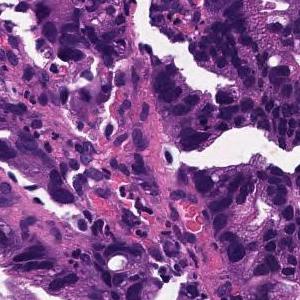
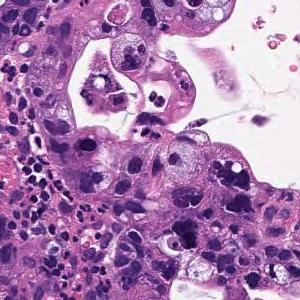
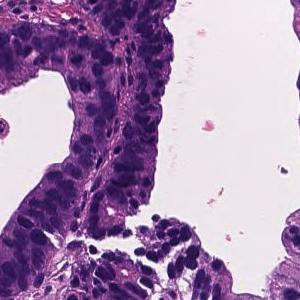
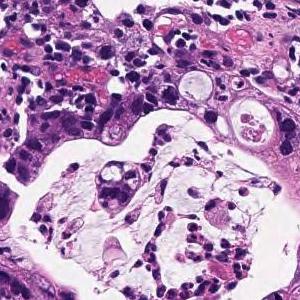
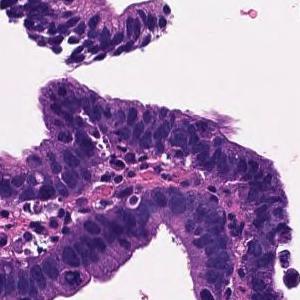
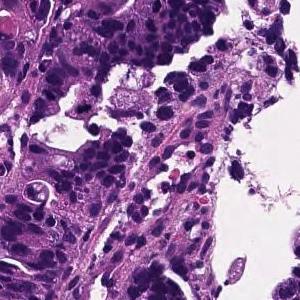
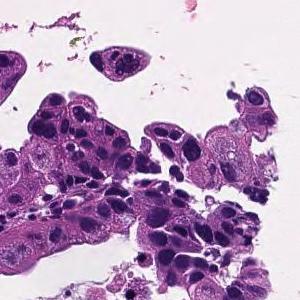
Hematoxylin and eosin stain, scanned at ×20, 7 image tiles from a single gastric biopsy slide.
Diagnostic report for the slide these tiles come from. Both the report and the diagnosis are for the whole slide: these tiles need not show every feature named, and some of the tissue shown may not be tumor.
In the superficial epithelium, tumor tissue that invades by forming medium-sized to small, irregular ducts is observed. moderately differentiated tubular adenocarcinoma.
